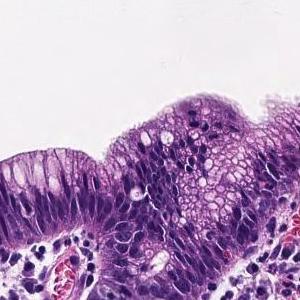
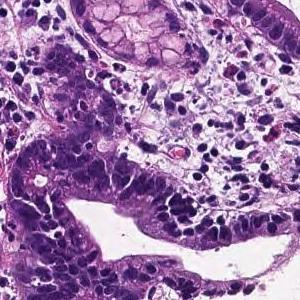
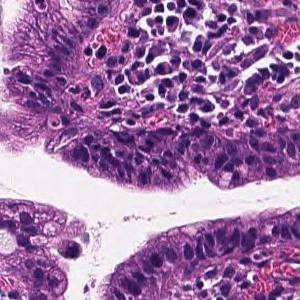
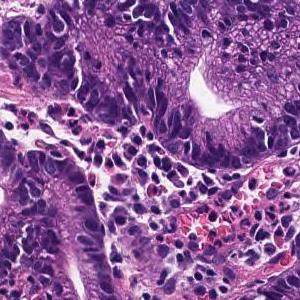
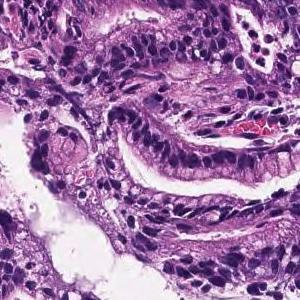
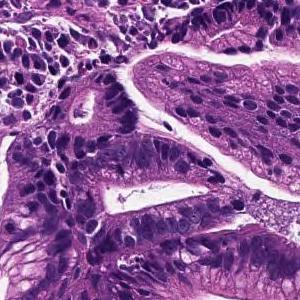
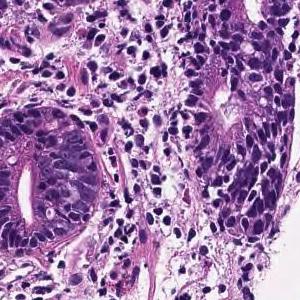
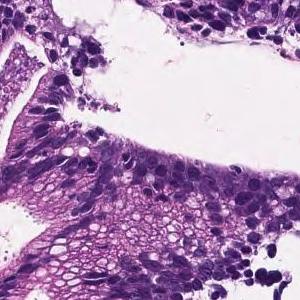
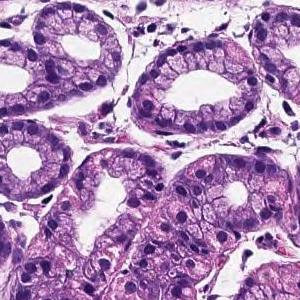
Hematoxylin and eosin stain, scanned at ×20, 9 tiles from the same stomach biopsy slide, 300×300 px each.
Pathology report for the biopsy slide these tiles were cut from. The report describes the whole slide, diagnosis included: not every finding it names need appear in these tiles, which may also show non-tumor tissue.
From the superficial epithelium to the muscularis mucosae, tumor tissue consisting of medium-sized and irregular glandular ducts infiltrating is observed. Well differentiated tubular adenocarcinoma
